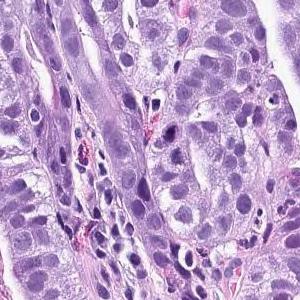
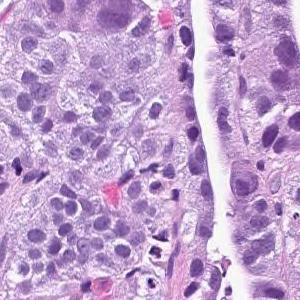
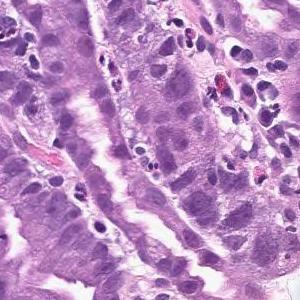
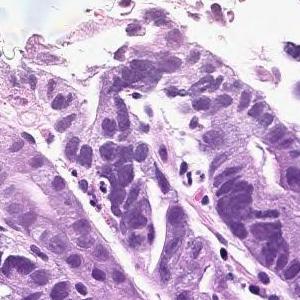
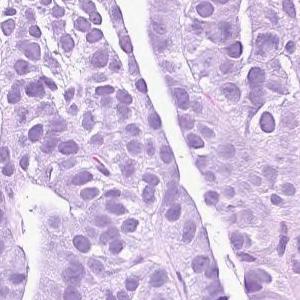
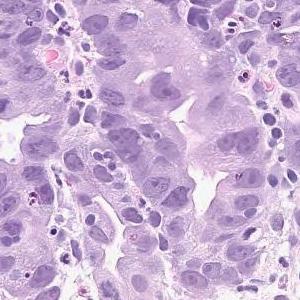
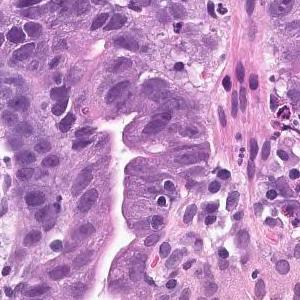
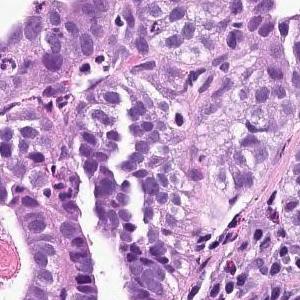
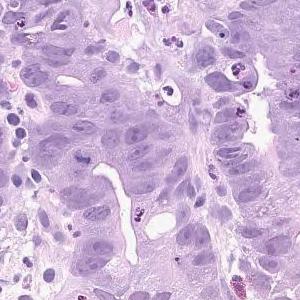
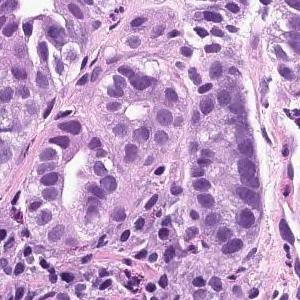
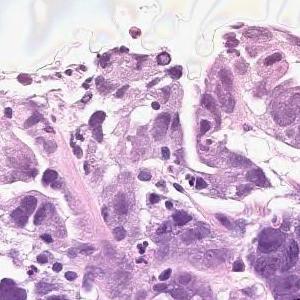
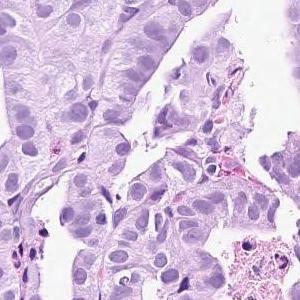
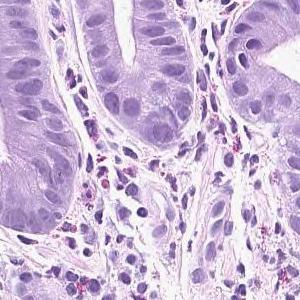
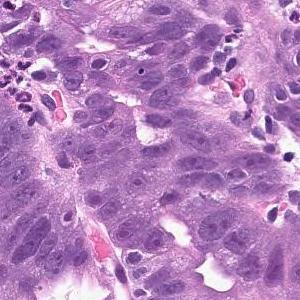
Hematoxylin and eosin stain; 20× magnification; 14 image tiles from a single gastric biopsy slide; 300×300 px each.
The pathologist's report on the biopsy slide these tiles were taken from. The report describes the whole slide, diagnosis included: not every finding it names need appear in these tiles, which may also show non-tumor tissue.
Infiltrating tumor tissue is observed in the superficial epithelium, showing large papillary structures or large and small ducts. Papillary adenocarcinoma
